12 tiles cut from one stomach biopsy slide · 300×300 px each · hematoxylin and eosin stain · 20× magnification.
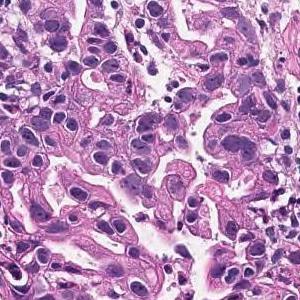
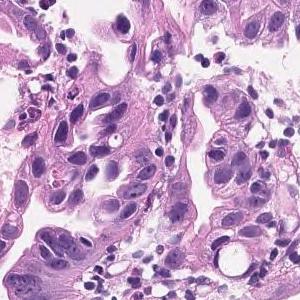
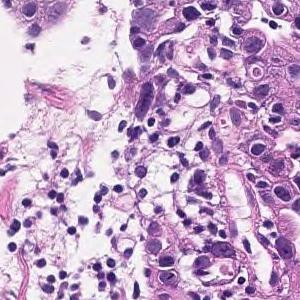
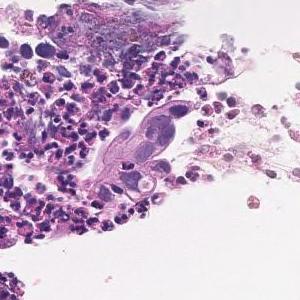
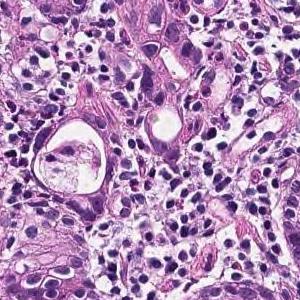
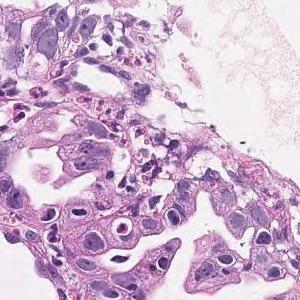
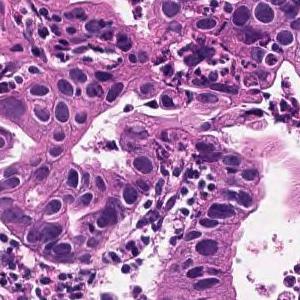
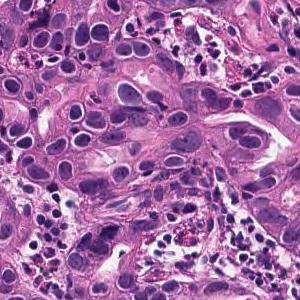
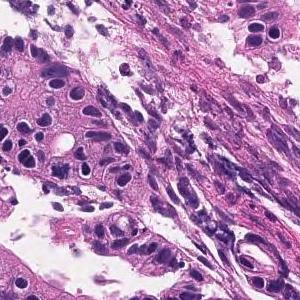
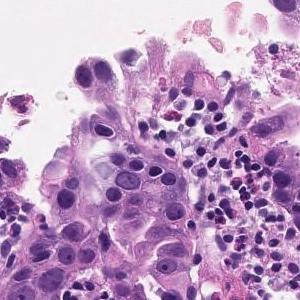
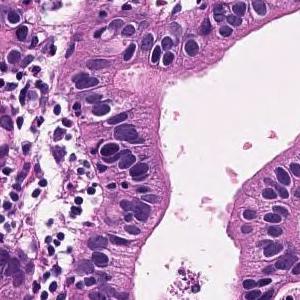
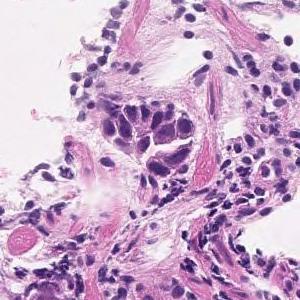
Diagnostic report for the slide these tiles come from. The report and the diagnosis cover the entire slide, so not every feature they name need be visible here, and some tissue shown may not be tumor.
In the superficial epithelium, tumor tissue that invades by forming medium-sized to small, irregular ducts is observed. moderately differentiated tubular adenocarcinoma.
